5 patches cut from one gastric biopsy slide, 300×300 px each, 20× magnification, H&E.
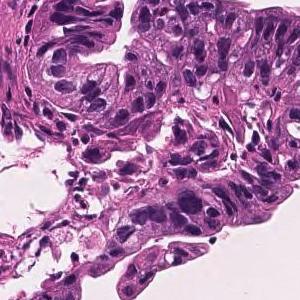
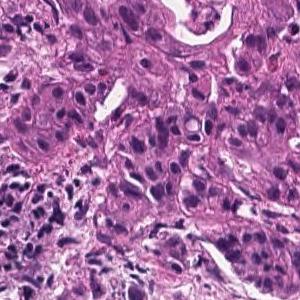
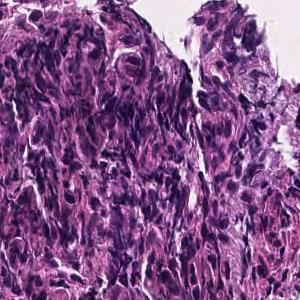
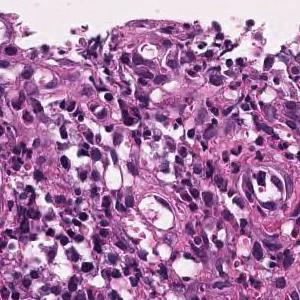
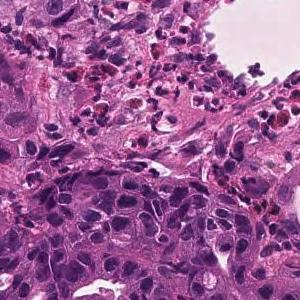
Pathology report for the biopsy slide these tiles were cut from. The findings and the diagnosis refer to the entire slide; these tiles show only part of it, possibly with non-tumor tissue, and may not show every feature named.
Tumor tissue consisting of medium-sized, cord-like or irregular glandular infiltration is observed in the superficial epithelium. Poorly differentiated adenocarcinoma, non-solid type or moderately differentiated tubular adenocarcinoma
The term "non-solid type" comes from the Japanese Classification of Gastric Carcinoma.
